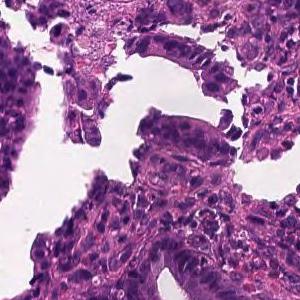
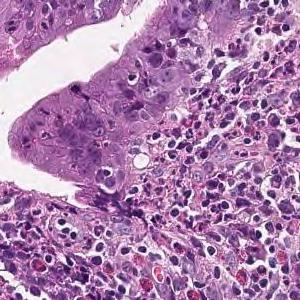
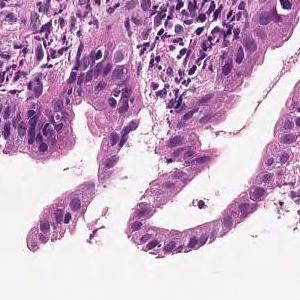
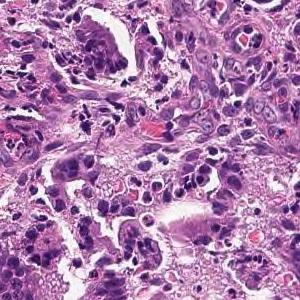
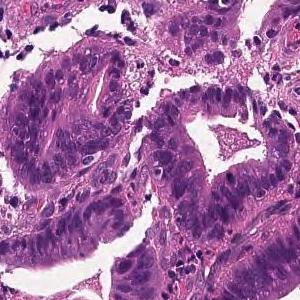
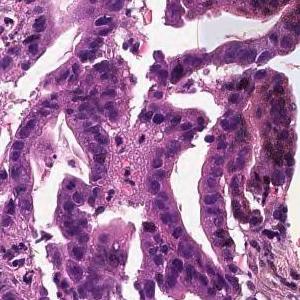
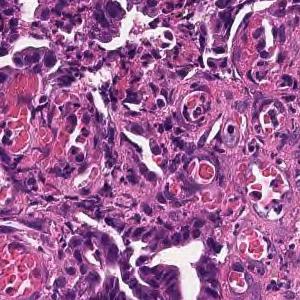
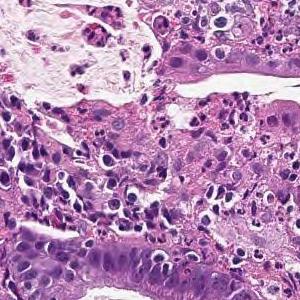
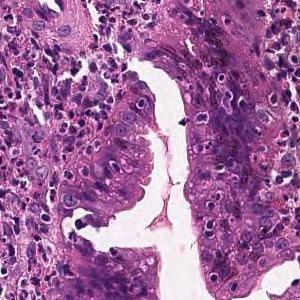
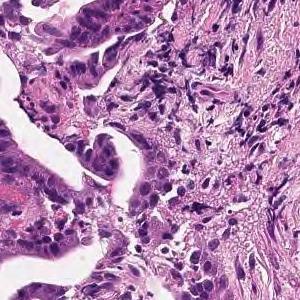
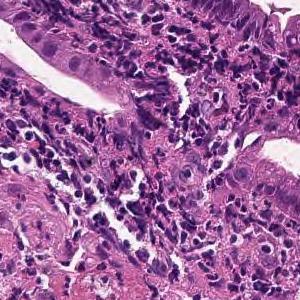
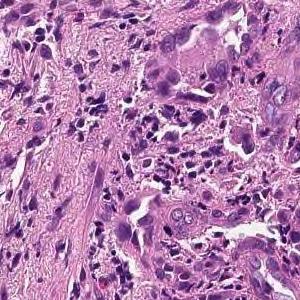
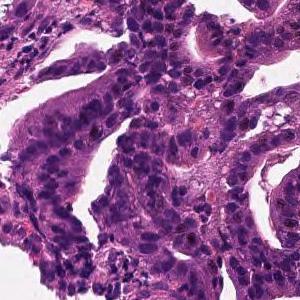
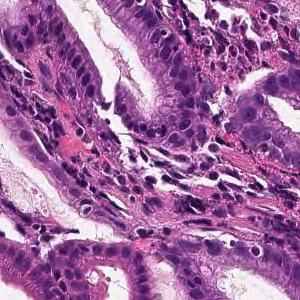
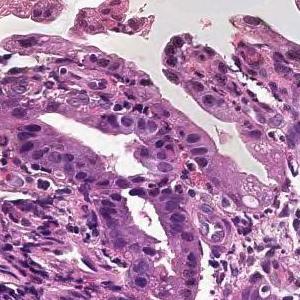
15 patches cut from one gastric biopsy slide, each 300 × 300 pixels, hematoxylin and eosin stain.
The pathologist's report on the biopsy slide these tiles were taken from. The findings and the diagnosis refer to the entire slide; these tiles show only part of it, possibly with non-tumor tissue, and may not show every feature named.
From the superficial epithelium to the muscularis mucosae, tumor tissue consisting of medium-sized and irregular glandular ducts infiltrating is observed. Well differentiated tubular adenocarcinoma
